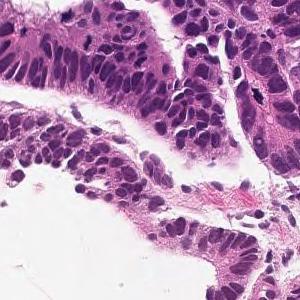
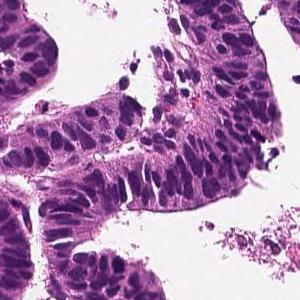
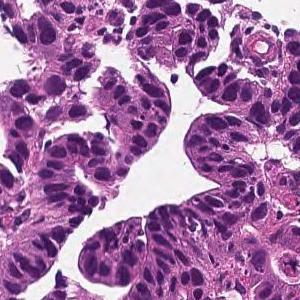
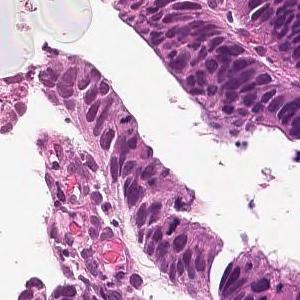
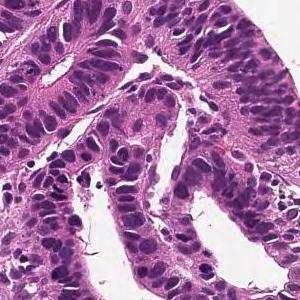
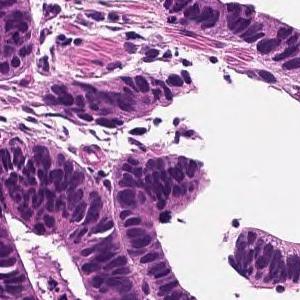
Scanned at ×20, hematoxylin and eosin stain, 6 tiles from the same stomach biopsy slide.
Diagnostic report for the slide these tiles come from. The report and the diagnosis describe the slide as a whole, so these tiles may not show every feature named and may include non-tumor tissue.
From the superficial epithelium to the muscularis mucosae, tumor tissue consisting of medium-sized and irregular glandular ducts infiltrating is observed. Well differentiated tubular adenocarcinoma
